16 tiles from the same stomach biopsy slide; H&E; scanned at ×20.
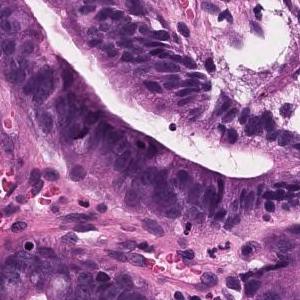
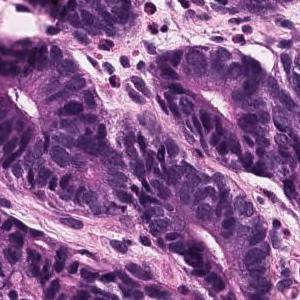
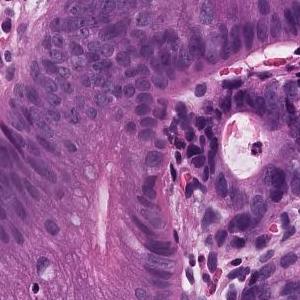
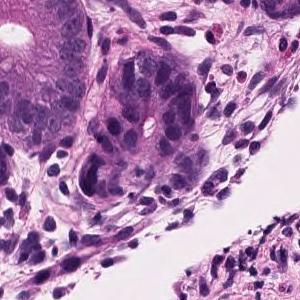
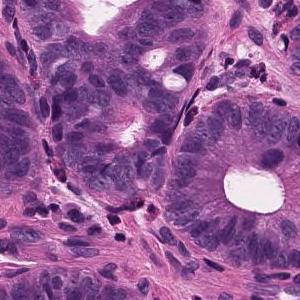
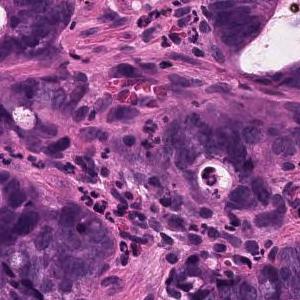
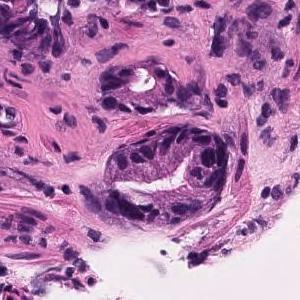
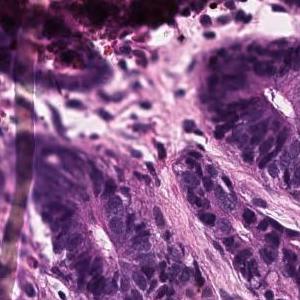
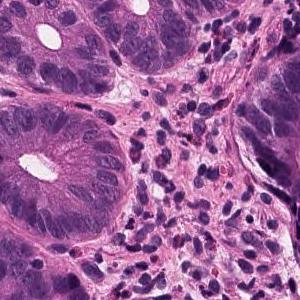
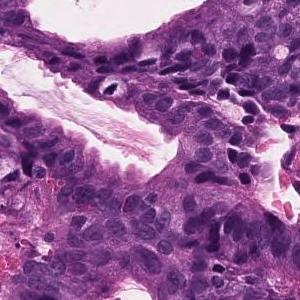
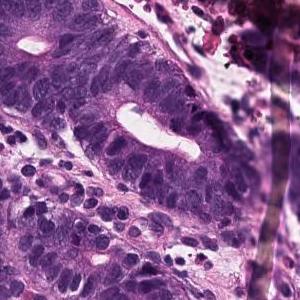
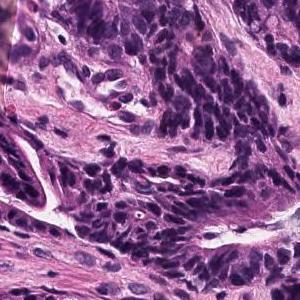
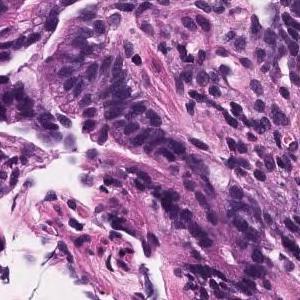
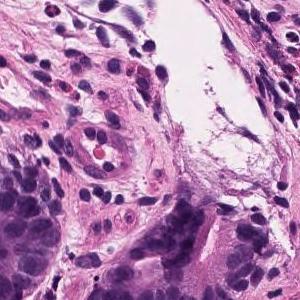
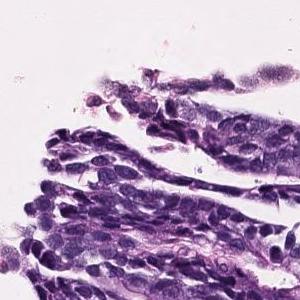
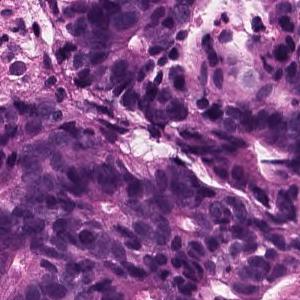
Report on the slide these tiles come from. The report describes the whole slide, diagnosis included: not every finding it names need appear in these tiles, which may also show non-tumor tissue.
Atypical ducts proliferating while irregularly fusing in the lateral direction is observed. Well differentiated tubular adenocarcinoma
